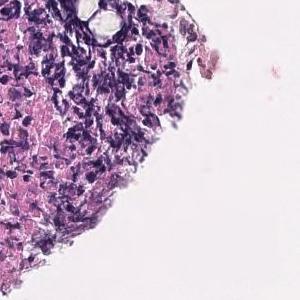
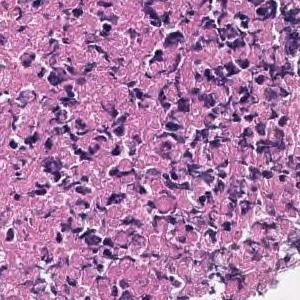
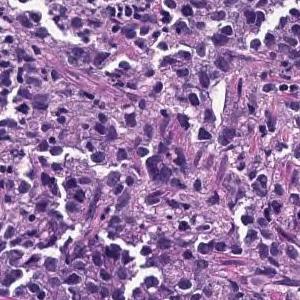
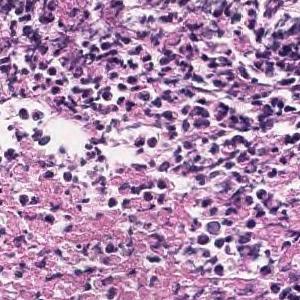
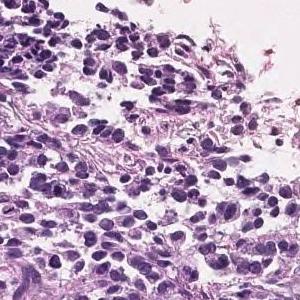
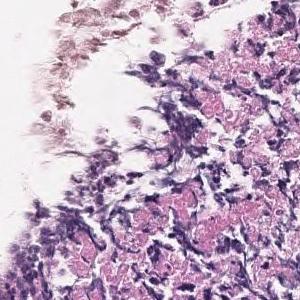
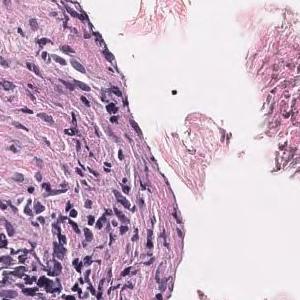
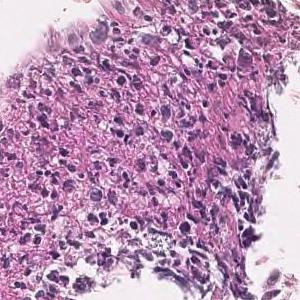
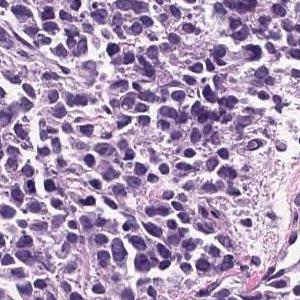
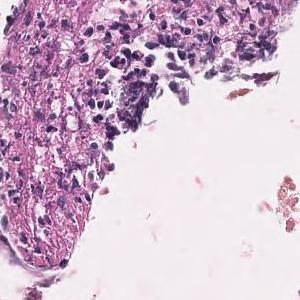
10 tiles from the same stomach biopsy slide, 300 × 300 pixels each, H&E, ×20.
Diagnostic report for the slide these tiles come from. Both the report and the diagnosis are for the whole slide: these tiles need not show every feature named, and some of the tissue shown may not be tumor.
The superficial epithelium shows a large sheet-like shape, and some tumor tissue infiltrates with small irregular ducts. Poorly differentiated adenocarcinoma, solid-type
Subtype: Poorly differentiated adenocarcinoma, solid type, a category of the Japanese Classification of Gastric Carcinoma; in the WHO 2019 classification it is tubular adenocarcinoma, poorly differentiated.
